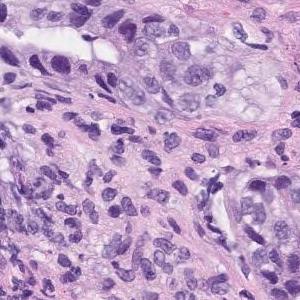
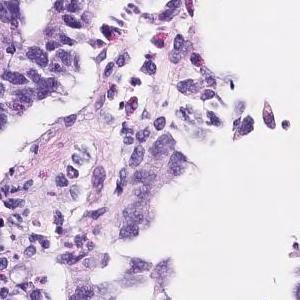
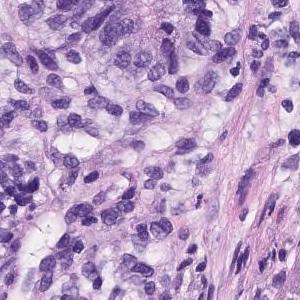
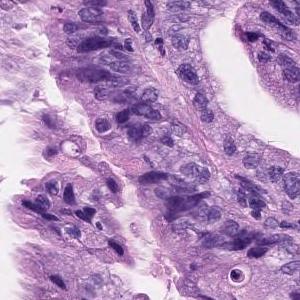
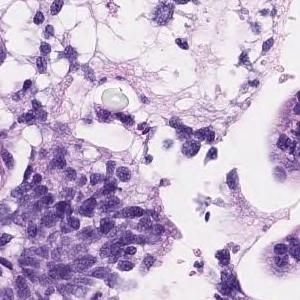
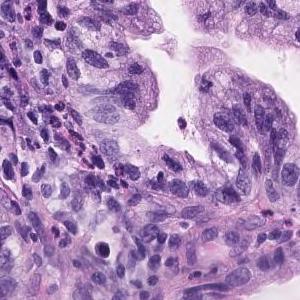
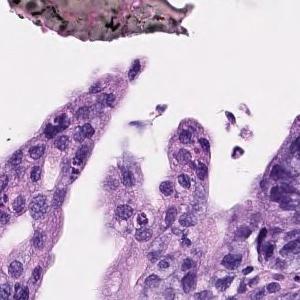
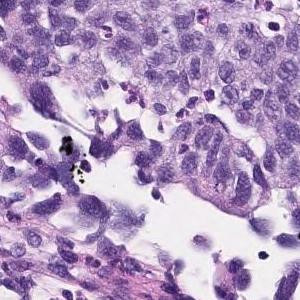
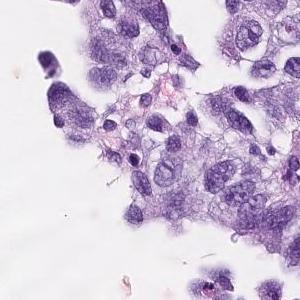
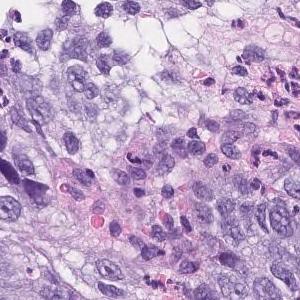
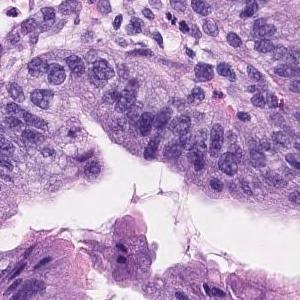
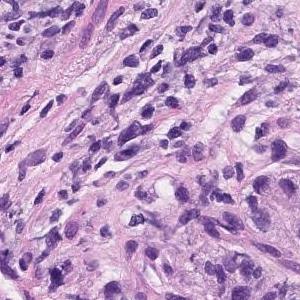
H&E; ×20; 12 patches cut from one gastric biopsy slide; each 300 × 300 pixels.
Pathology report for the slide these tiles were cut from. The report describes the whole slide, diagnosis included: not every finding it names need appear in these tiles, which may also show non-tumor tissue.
Tumor cells are large, highly columnar, large club-shaped nuclei, and are associated with chromatin aggregation. Papillary adenocarcinoma.
